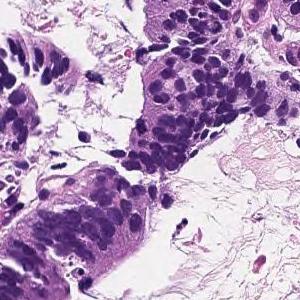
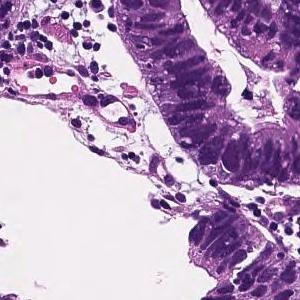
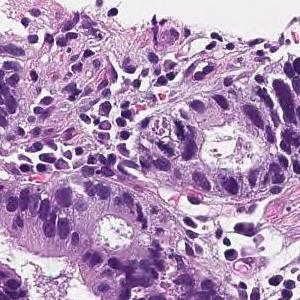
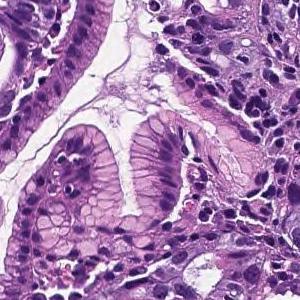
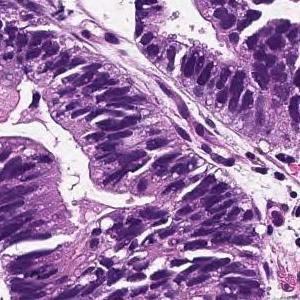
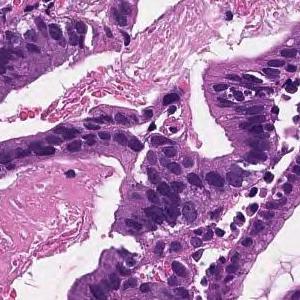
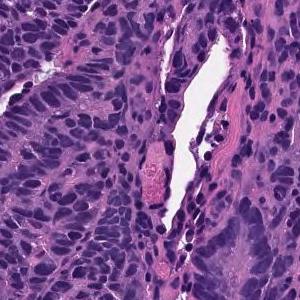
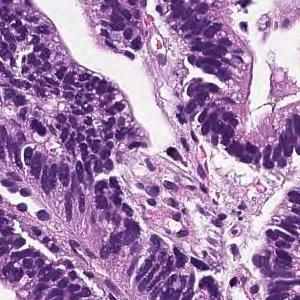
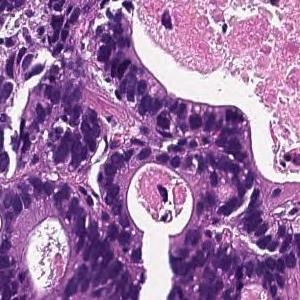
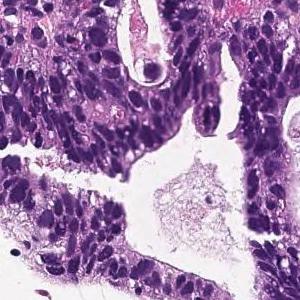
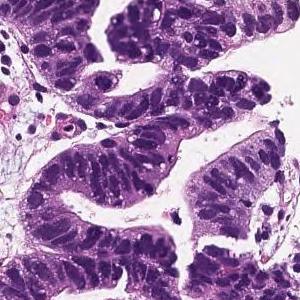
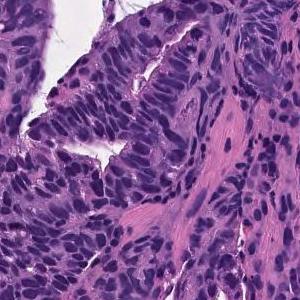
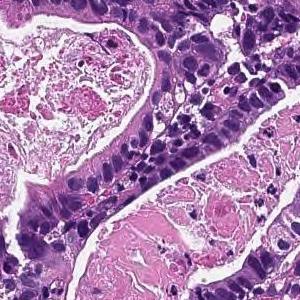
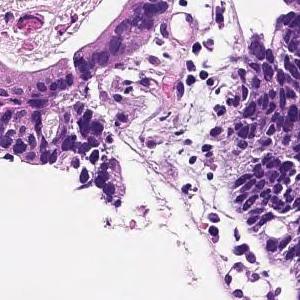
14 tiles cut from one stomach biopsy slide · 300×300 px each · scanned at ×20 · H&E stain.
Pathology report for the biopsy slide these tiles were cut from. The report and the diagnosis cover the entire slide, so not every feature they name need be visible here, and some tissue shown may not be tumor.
In the superficial epithelium, tumor tissue that invades by forming medium-sized to small, irregular ducts is observed. moderately differentiated tubular adenocarcinoma.
